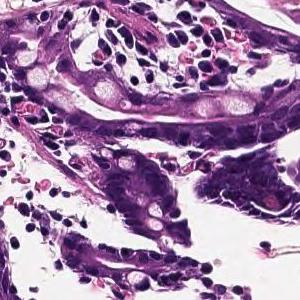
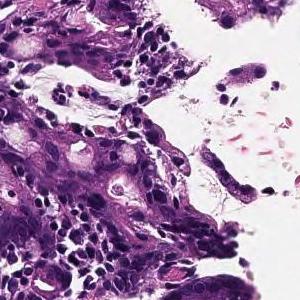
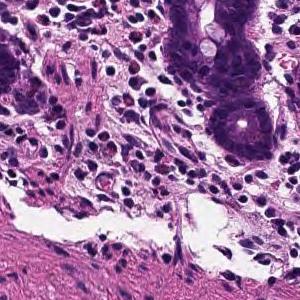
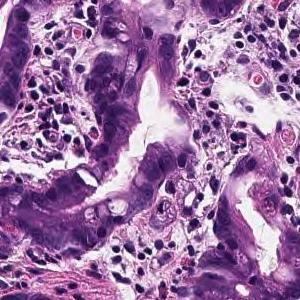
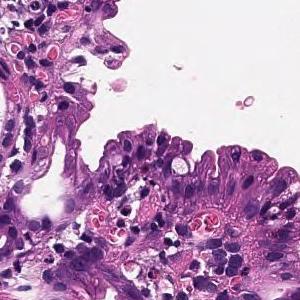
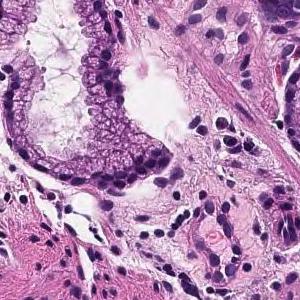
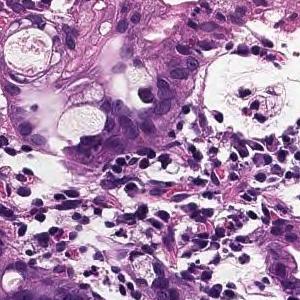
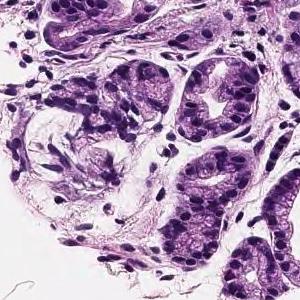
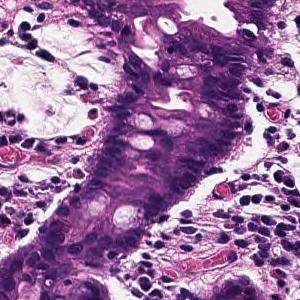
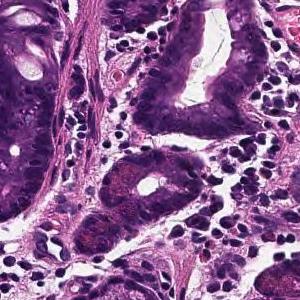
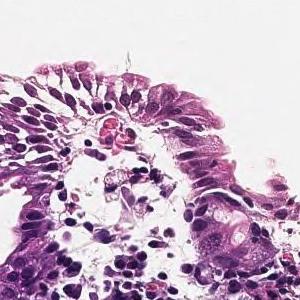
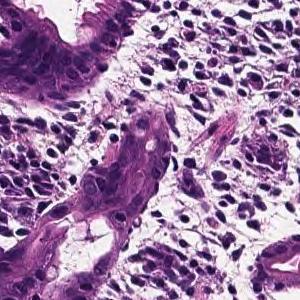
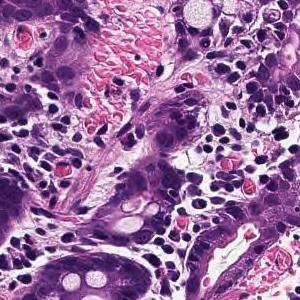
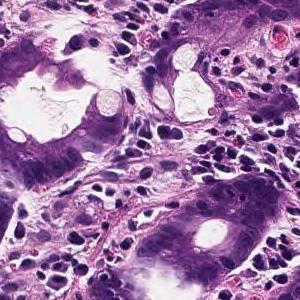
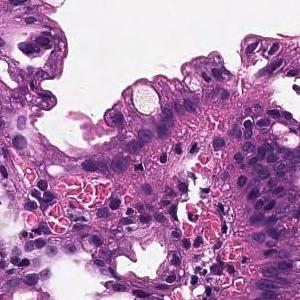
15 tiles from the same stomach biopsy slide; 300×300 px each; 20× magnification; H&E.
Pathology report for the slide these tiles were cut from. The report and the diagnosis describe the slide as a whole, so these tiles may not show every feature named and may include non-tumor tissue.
In the superficial epithelium, tumor tissue that invades by forming medium-sized to small, irregular ducts is observed. moderately differentiated tubular adenocarcinoma.
